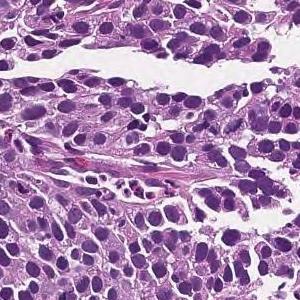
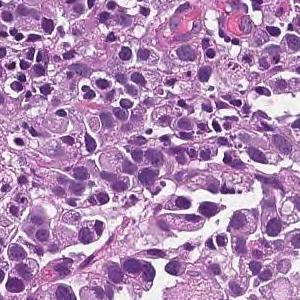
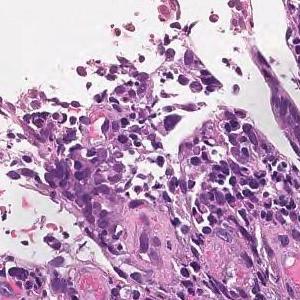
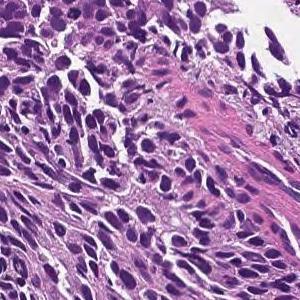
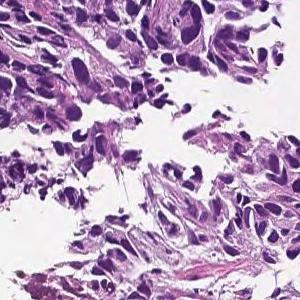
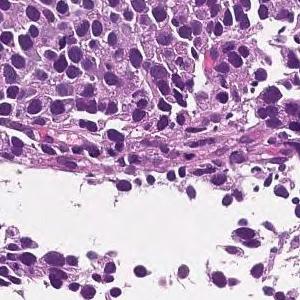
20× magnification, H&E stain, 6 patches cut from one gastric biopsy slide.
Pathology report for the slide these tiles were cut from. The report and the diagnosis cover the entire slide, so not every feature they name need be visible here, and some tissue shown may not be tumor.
The superficial epithelium shows a large sheet-like shape, and some tumor tissue infiltrates with small irregular ducts. Poorly differentiated adenocarcinoma, solid-type
Subtype: Poorly differentiated adenocarcinoma, solid type. This name comes from the Japanese Classification of Gastric Carcinoma; the WHO 2019 classification calls it tubular adenocarcinoma, poorly differentiated.
